Scanned at ×20; H&E; 5 tiles cut from one stomach biopsy slide; each 300 × 300 pixels.
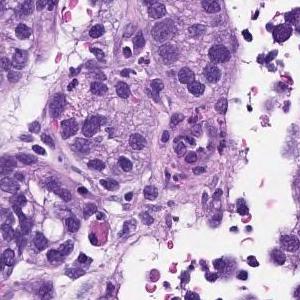
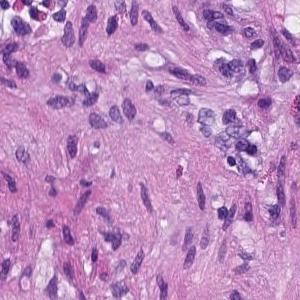
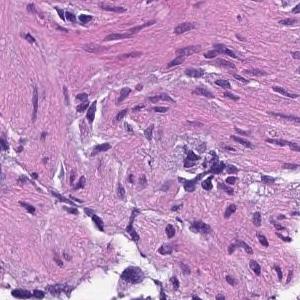
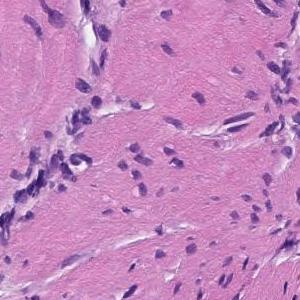
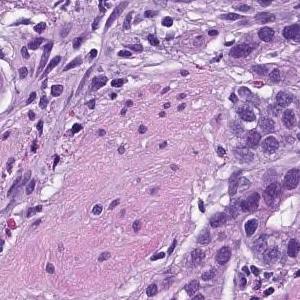
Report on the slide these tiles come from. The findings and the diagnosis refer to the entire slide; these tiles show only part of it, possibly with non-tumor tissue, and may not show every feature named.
From the superficial epithelium to the muscularis mucosae, tumor tissue consisting of medium-sized and irregular glandular ducts infiltrating is observed. Well differentiated tubular adenocarcinoma
